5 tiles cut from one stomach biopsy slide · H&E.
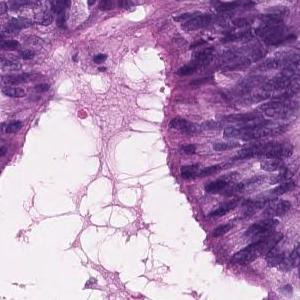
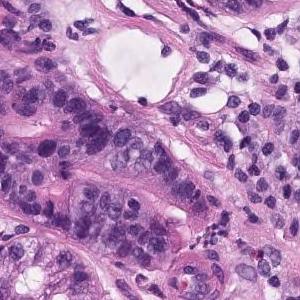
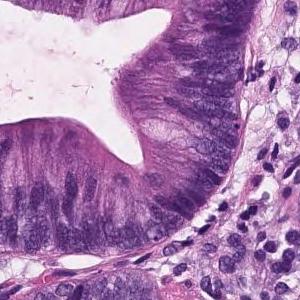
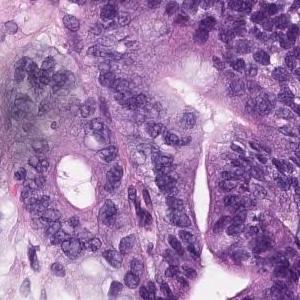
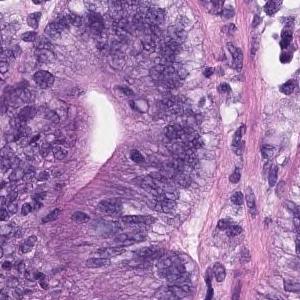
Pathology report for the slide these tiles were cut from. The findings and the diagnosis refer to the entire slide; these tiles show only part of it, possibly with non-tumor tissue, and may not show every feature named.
Group 5, Well differentiated tubular adenocarcinoma.
